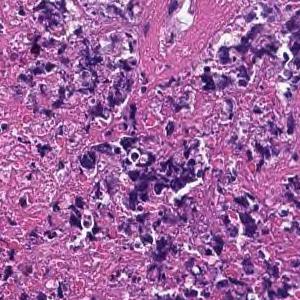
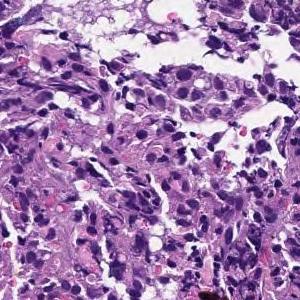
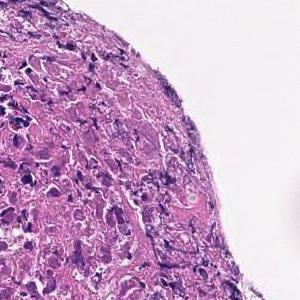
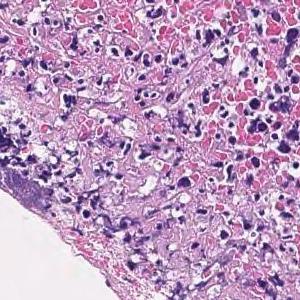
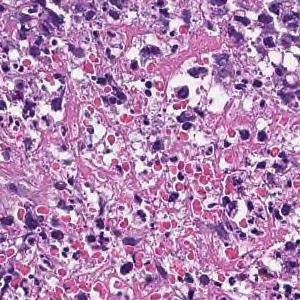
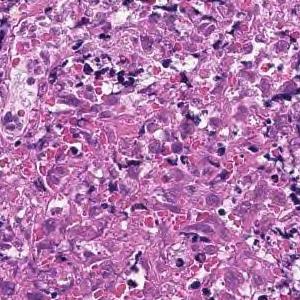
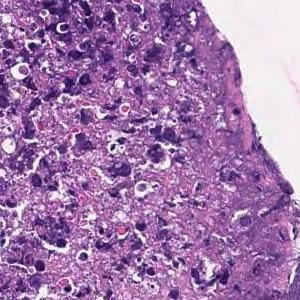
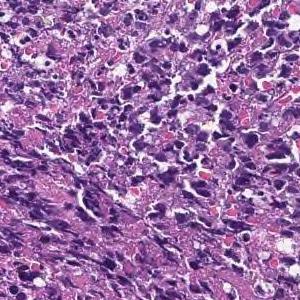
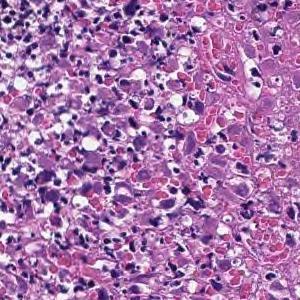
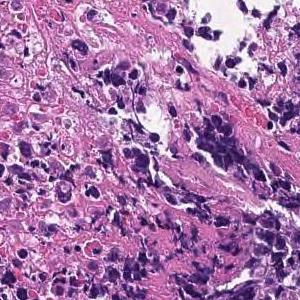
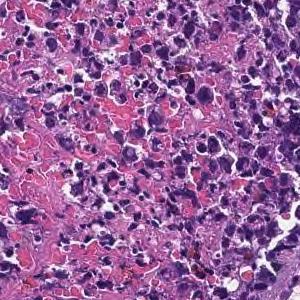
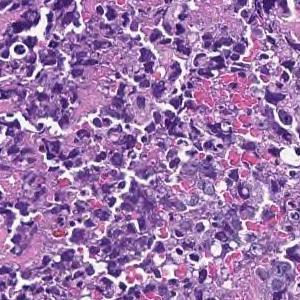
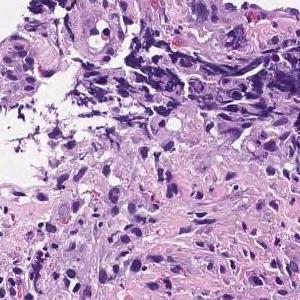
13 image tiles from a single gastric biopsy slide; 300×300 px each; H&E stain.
Diagnostic report for the slide these tiles come from. What the report and the diagnosis say applies to the whole slide; these tiles may miss some of the features named and may include tissue that is not tumor.
Most are composed of coagulative necrotic tissue, but some show a large sheet-like shape, and some show tumor tissue infiltrating with a small cord-like structure. Poorly differentiated adenocarcinoma, solid-type
Tumor subtype: poorly differentiated adenocarcinoma, solid type. This name comes from the Japanese Classification of Gastric Carcinoma; the WHO 2019 classification calls it tubular adenocarcinoma, poorly differentiated.
